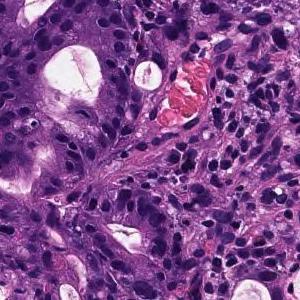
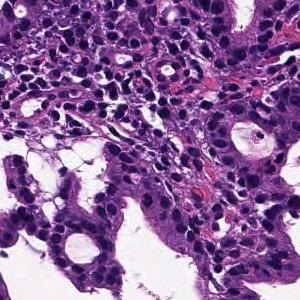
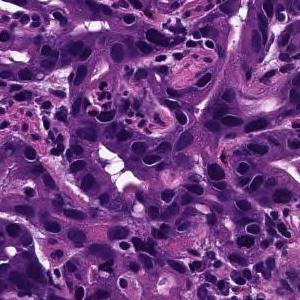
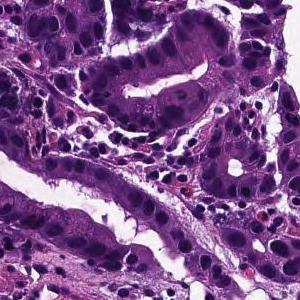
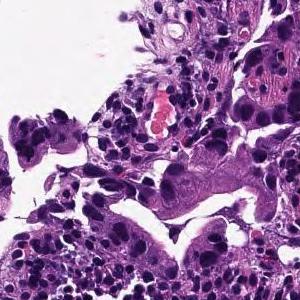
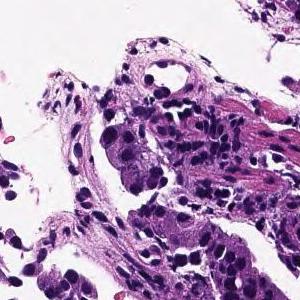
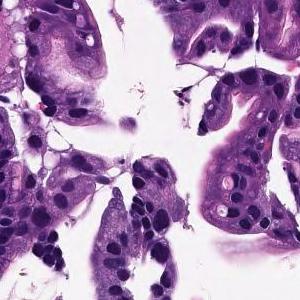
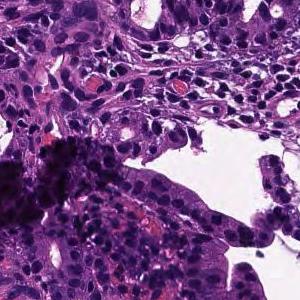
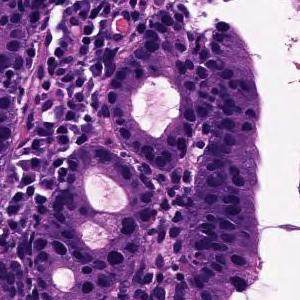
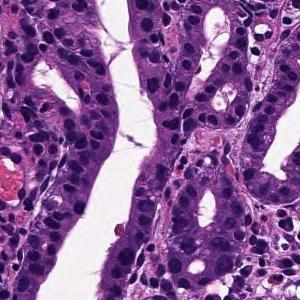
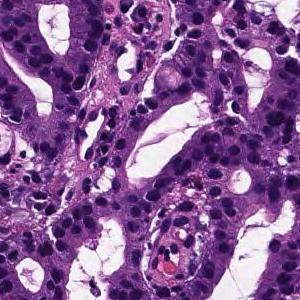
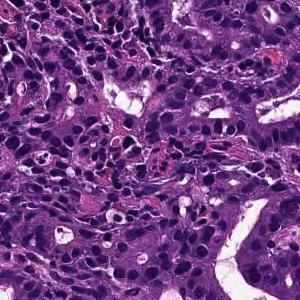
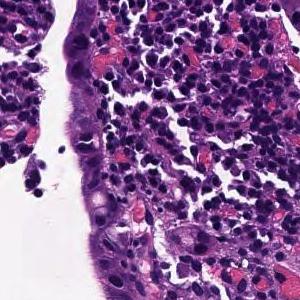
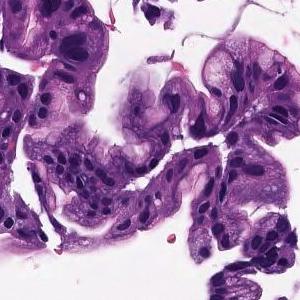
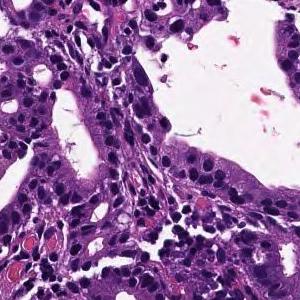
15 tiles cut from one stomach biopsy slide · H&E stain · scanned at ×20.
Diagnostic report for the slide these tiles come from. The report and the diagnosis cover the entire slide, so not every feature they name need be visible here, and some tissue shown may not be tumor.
From the superficial epithelium to the muscularis mucosae, tumor tissue consisting of medium-sized and irregular glandular ducts infiltrating is observed. Well differentiated tubular adenocarcinoma
